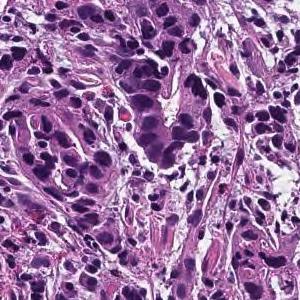
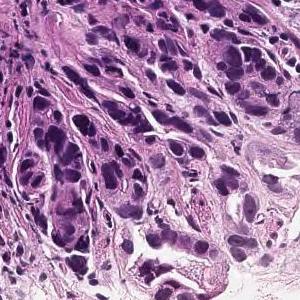
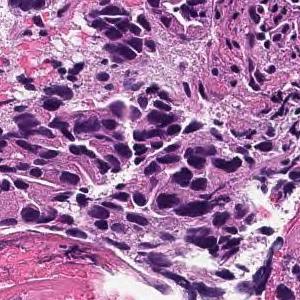
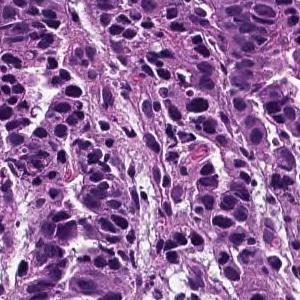
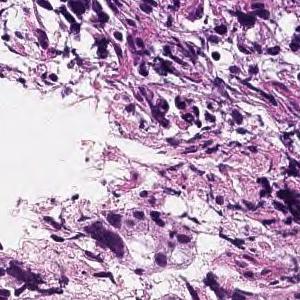
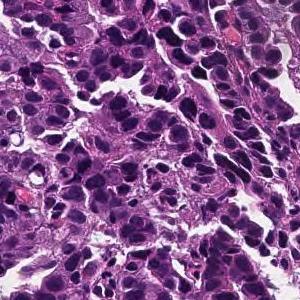
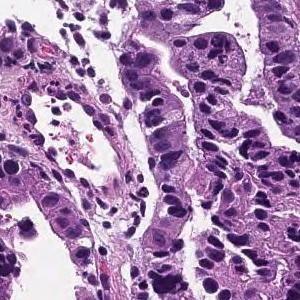
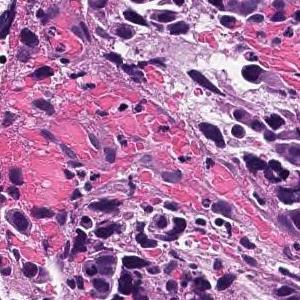
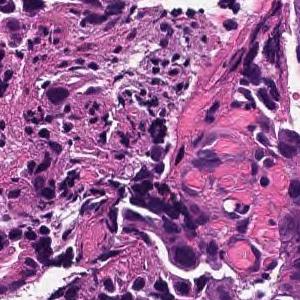
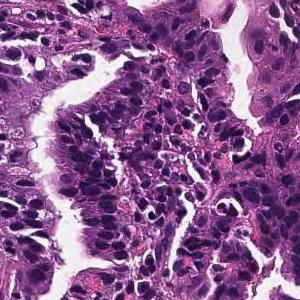
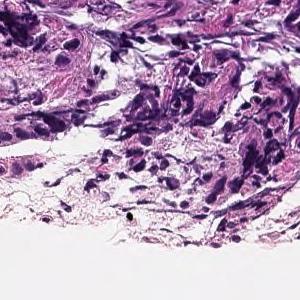
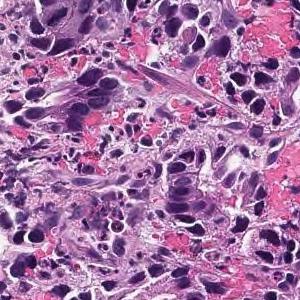
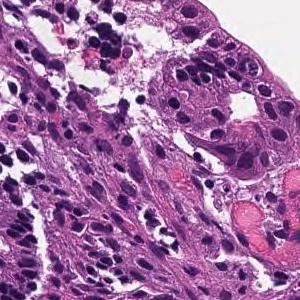
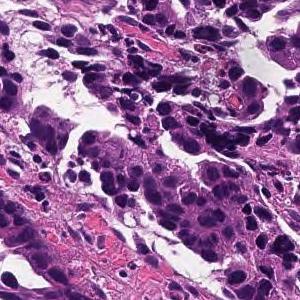
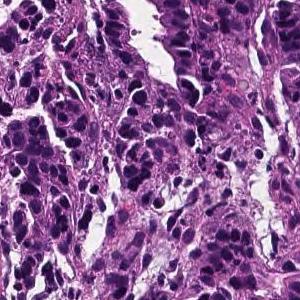
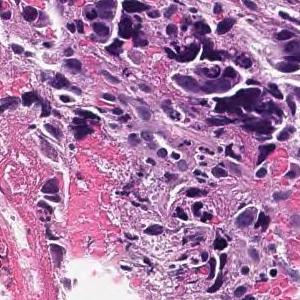
16 tiles from the same stomach biopsy slide; H&E.
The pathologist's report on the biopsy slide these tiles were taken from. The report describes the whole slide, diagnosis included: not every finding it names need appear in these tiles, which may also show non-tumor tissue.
In the superficial epithelium, tumor tissue that invades by forming medium-sized to small, irregular ducts is observed. moderately differentiated tubular adenocarcinoma.
